11 tiles from the same stomach biopsy slide; 300 × 300 pixels each; H&E.
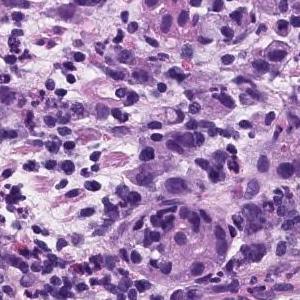
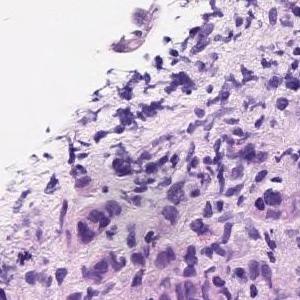
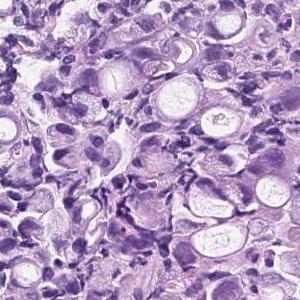
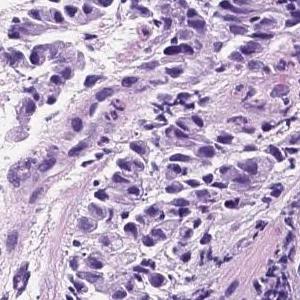
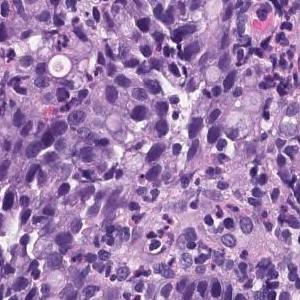
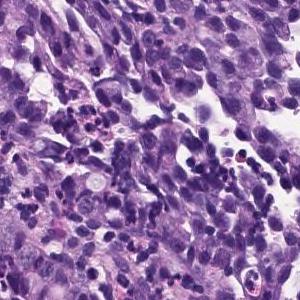
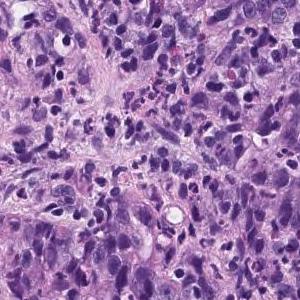
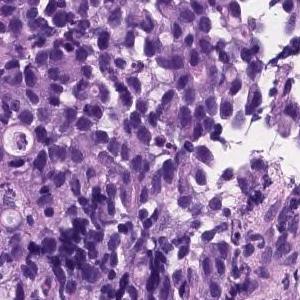
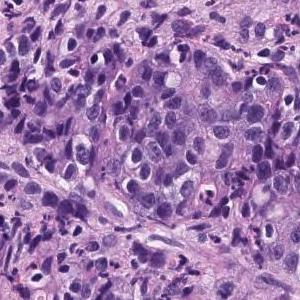
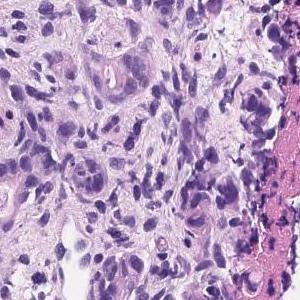
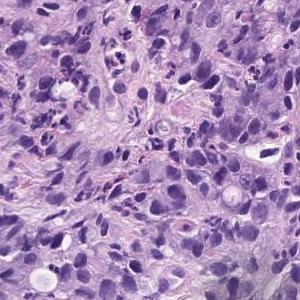
Report on the slide these tiles come from. The report and the diagnosis cover the entire slide, so not every feature they name need be visible here, and some tissue shown may not be tumor.
Diffusely growing signet-ring cells are found in the lamina propria. Signet ring cell carcinoma.
